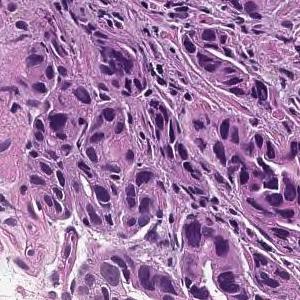
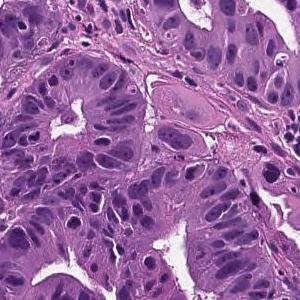
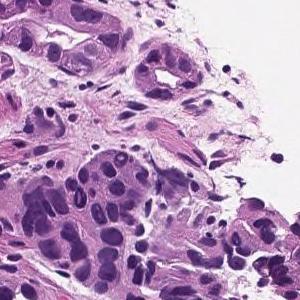
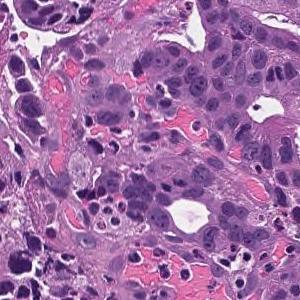
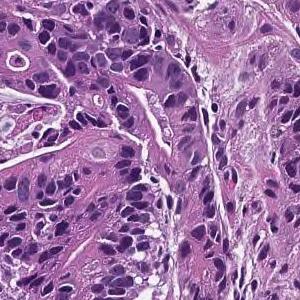
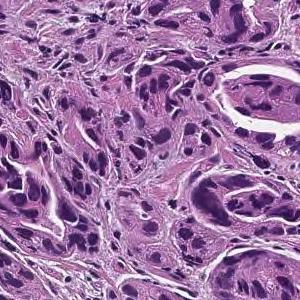
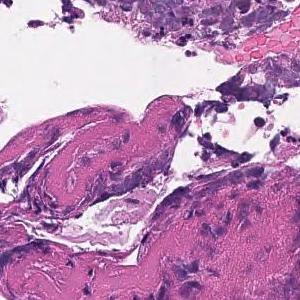
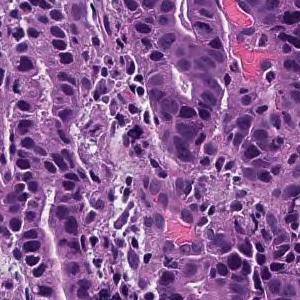
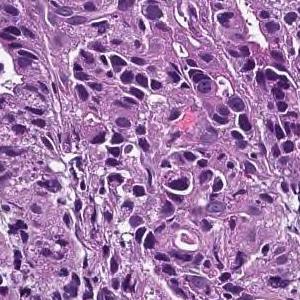
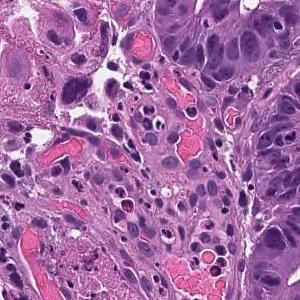
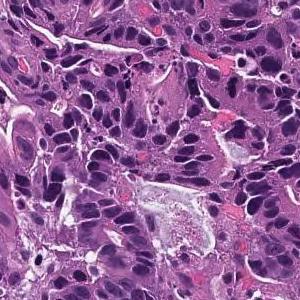
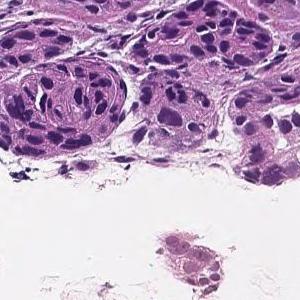
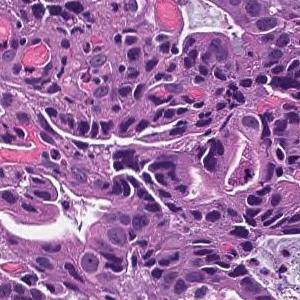
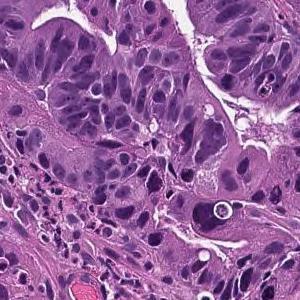
14 tiles from the same stomach biopsy slide; each 300 × 300 pixels.
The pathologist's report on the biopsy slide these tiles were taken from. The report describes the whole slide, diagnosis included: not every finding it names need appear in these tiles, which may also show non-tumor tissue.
In the superficial epithelium, tumor tissue that invades by forming medium-sized to small, irregular ducts is observed. moderately differentiated tubular adenocarcinoma.
